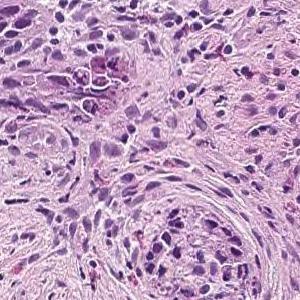
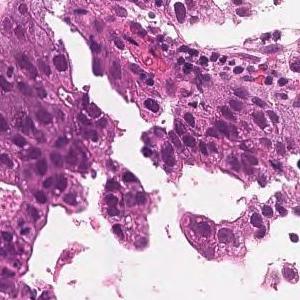
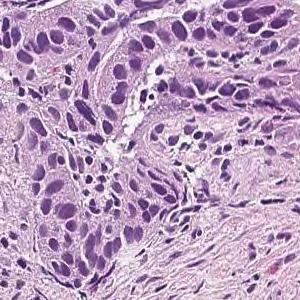
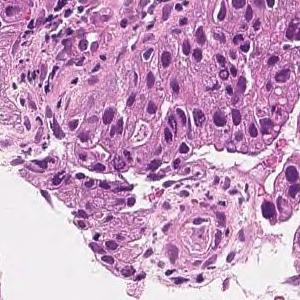
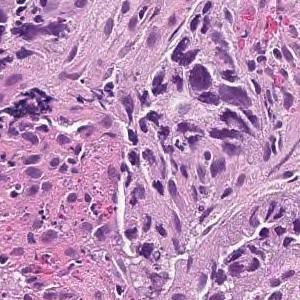
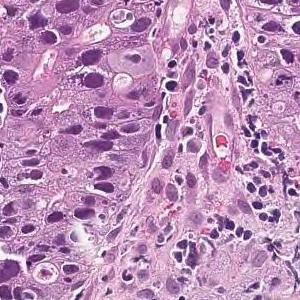
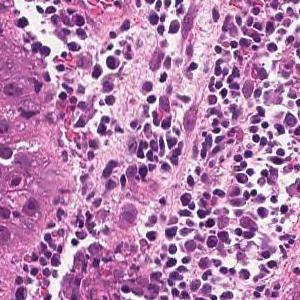
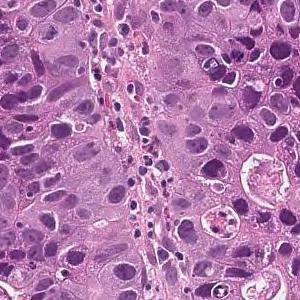
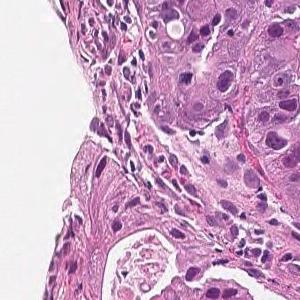
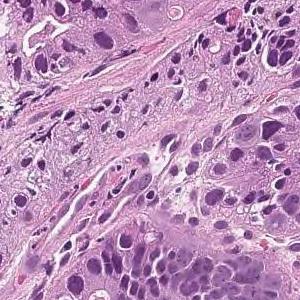
H&E stain, 10 patches cut from one gastric biopsy slide.
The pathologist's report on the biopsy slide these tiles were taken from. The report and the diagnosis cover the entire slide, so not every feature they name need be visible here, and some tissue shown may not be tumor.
In the superficial epithelium, tumor tissue that invades by forming medium-sized to small, irregular ducts is observed. moderately differentiated tubular adenocarcinoma.
